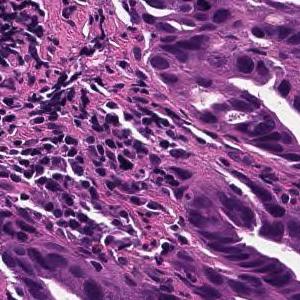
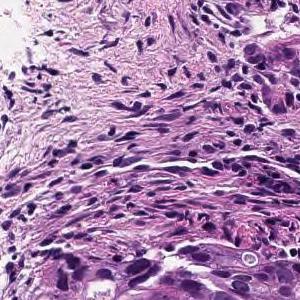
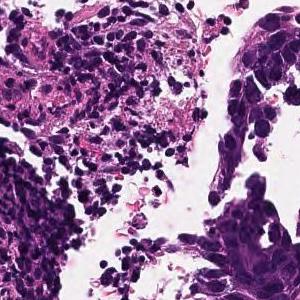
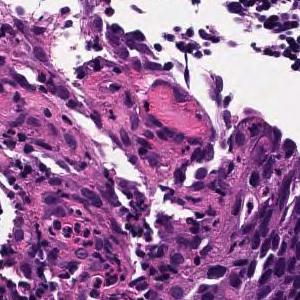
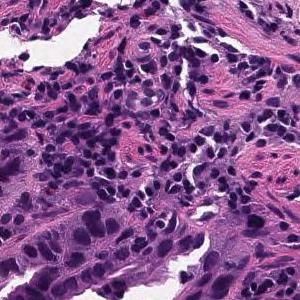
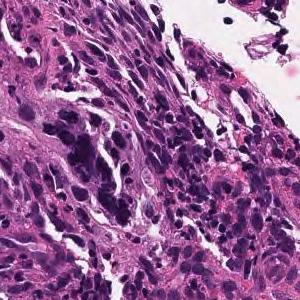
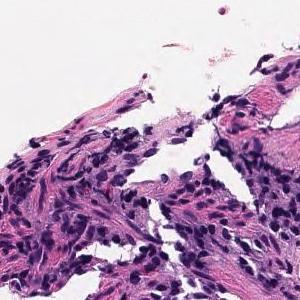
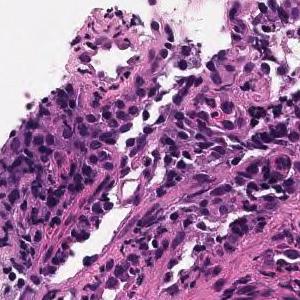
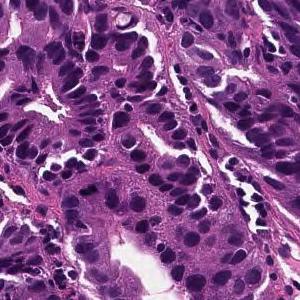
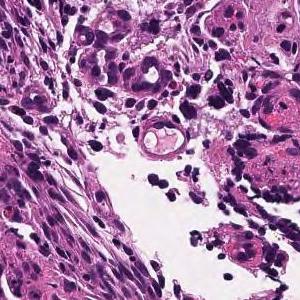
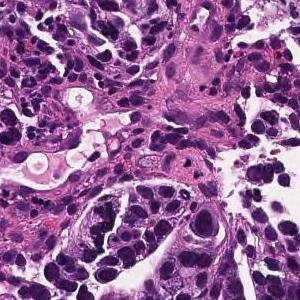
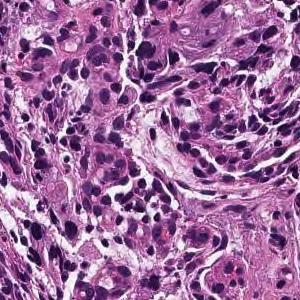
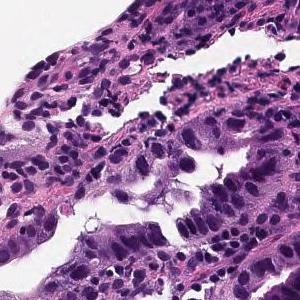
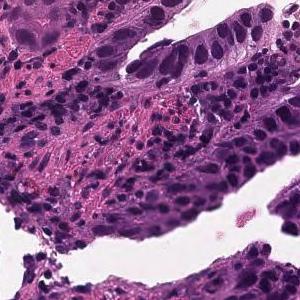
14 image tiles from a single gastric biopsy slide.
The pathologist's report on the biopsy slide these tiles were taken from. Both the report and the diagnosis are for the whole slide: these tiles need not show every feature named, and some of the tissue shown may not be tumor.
On the superficial epithelium, tumor tissue consisting of large irregular glandular ducts partially fused and infiltrated is observed. Well to moderately differentiated tubular adenocarcinoma (well differentiated tubular adenocarcinoma, moderately differentiated tubular adenocarcinoma)
Tumor subtype: well to moderately differentiated tubular adenocarcinoma.
